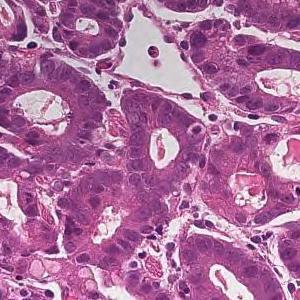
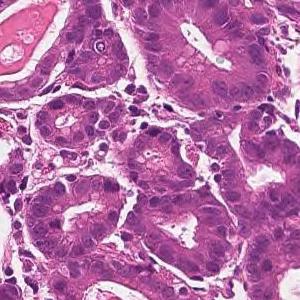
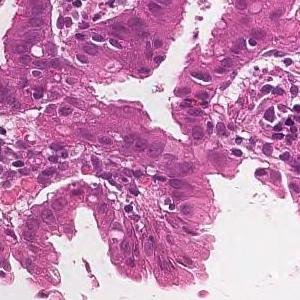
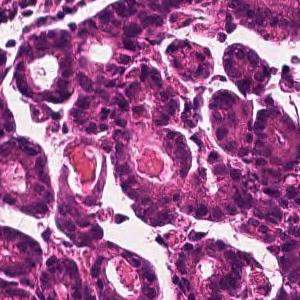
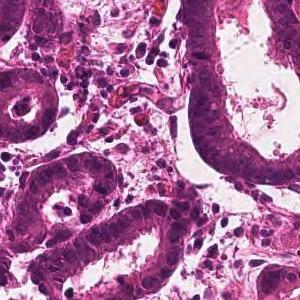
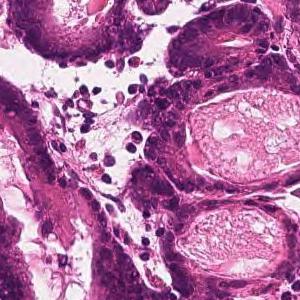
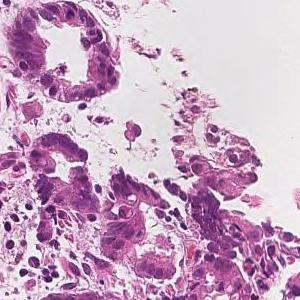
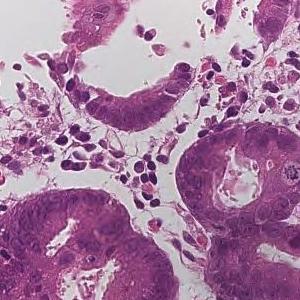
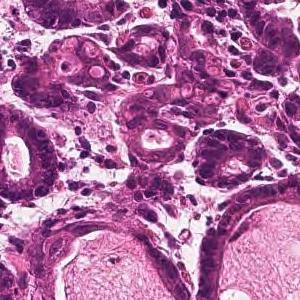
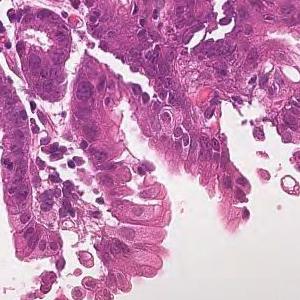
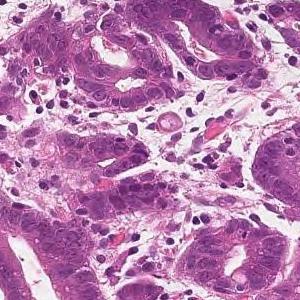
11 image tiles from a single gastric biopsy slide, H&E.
The pathologist's report on the biopsy slide these tiles were taken from. The report and the diagnosis cover the entire slide, so not every feature they name need be visible here, and some tissue shown may not be tumor.
From the superficial epithelium to the muscularis mucosae, tumor tissue consisting of medium-sized and irregular glandular ducts infiltrating is observed. Well differentiated tubular adenocarcinoma
